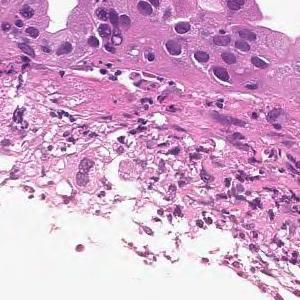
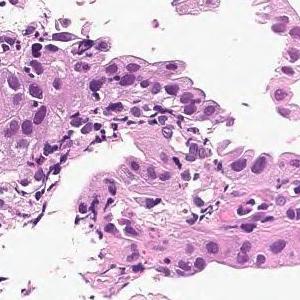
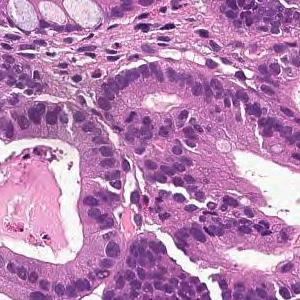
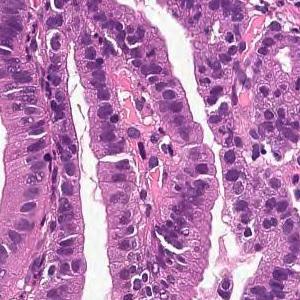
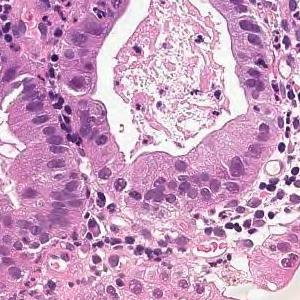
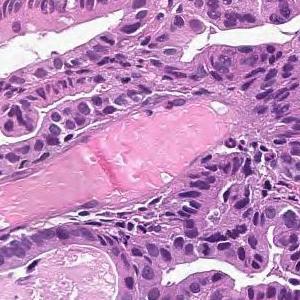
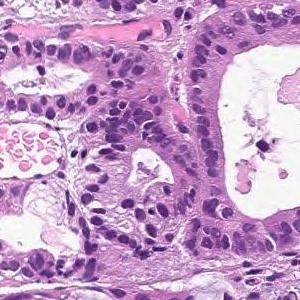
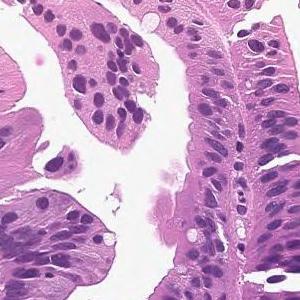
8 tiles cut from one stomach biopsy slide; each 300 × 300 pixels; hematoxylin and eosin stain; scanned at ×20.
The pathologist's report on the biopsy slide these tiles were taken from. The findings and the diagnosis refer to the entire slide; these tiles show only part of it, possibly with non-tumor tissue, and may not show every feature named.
From the superficial epithelium to the muscularis mucosae, tumor tissue consisting of medium-sized and irregular glandular ducts infiltrating is observed. Well differentiated tubular adenocarcinoma
